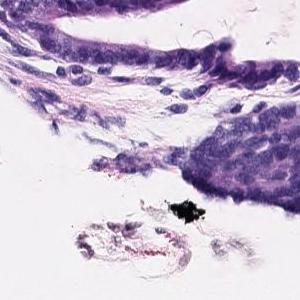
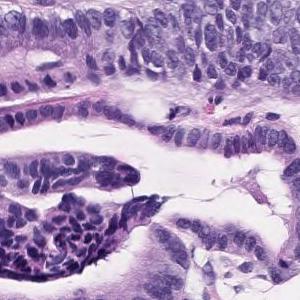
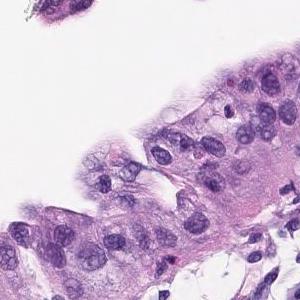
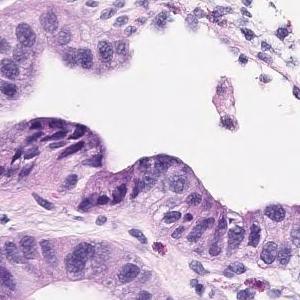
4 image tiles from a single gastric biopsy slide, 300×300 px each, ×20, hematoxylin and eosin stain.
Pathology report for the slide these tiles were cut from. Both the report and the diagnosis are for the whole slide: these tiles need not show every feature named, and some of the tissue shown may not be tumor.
In the superficial epithelium, tumor tissue that invades by forming medium-sized to small, irregular ducts is observed. Well to moderately differentiated tubular adenocarcinoma.
